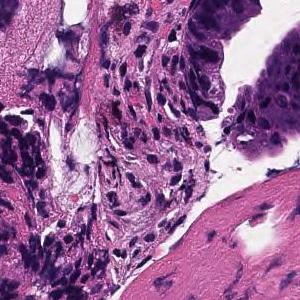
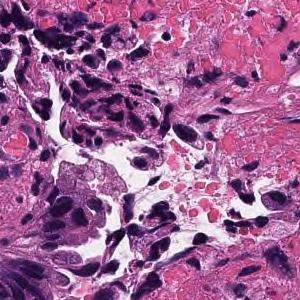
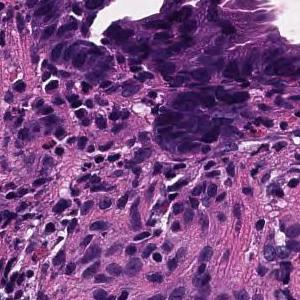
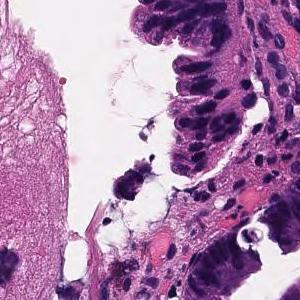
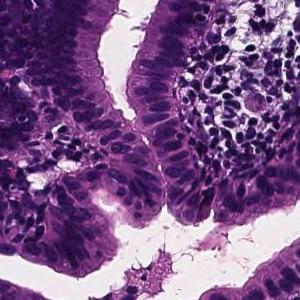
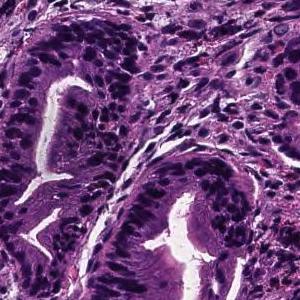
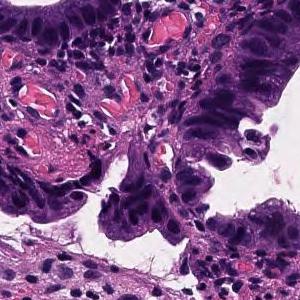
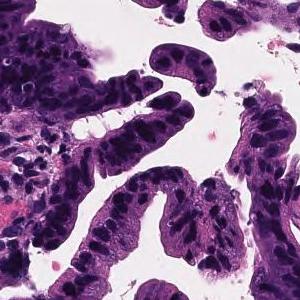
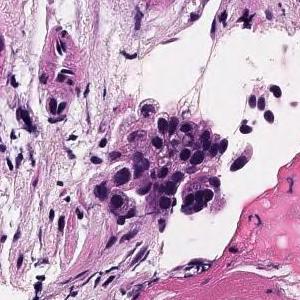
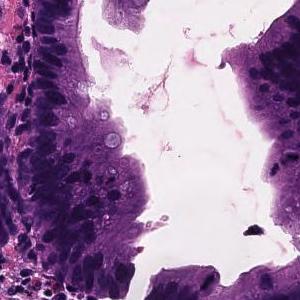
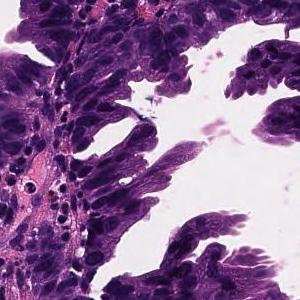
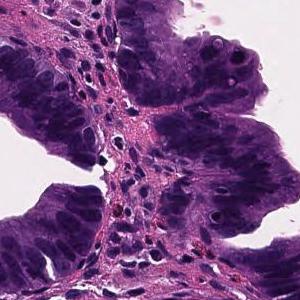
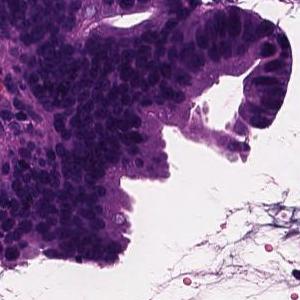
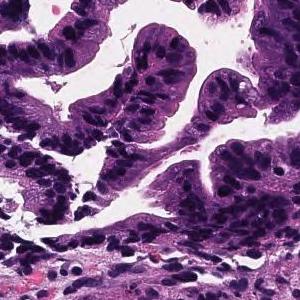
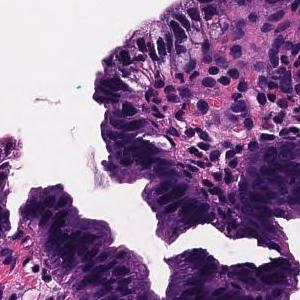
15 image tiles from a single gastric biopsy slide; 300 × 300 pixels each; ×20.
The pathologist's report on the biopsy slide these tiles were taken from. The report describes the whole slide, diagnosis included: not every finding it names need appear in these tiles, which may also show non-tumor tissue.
Tumor cells are large, highly columnar, large club-shaped nuclei, and are associated with chromatin aggregation. Papillary adenocarcinoma.
